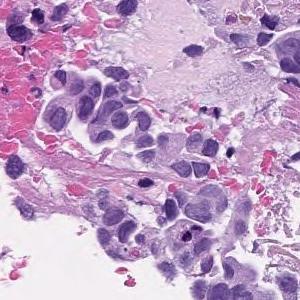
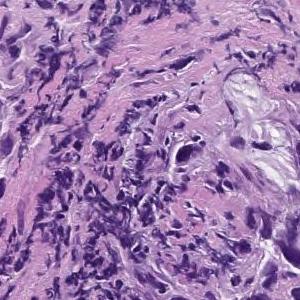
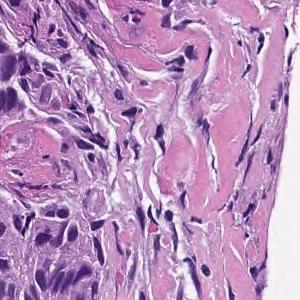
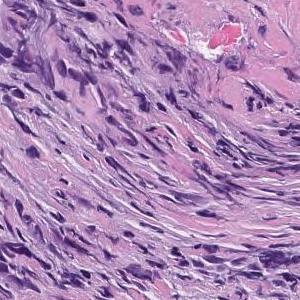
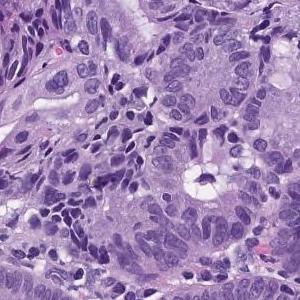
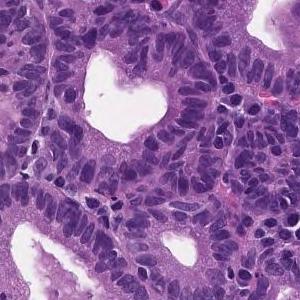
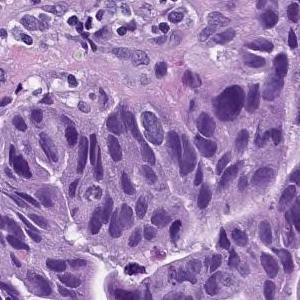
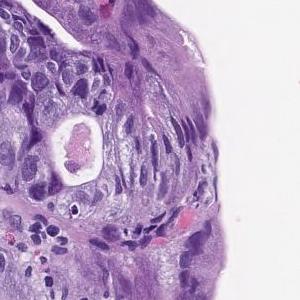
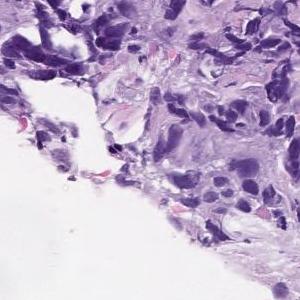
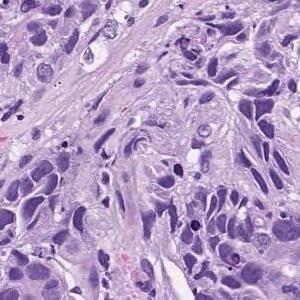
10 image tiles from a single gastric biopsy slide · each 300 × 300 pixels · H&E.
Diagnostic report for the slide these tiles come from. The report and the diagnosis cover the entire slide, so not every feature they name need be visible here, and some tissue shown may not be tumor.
In the superficial epithelium, tumor tissue that invades by forming medium-sized to small, irregular ducts is observed. moderately differentiated tubular adenocarcinoma.
